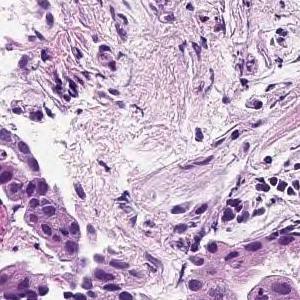
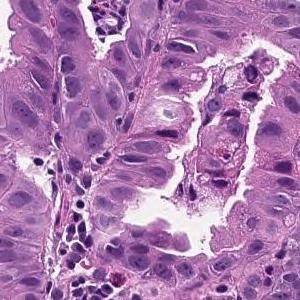
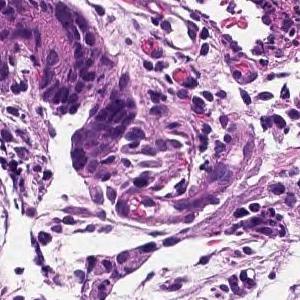
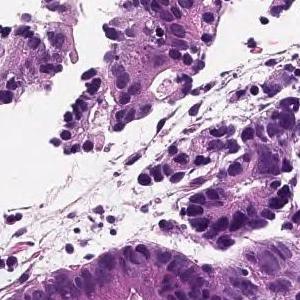
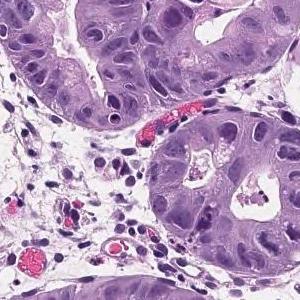
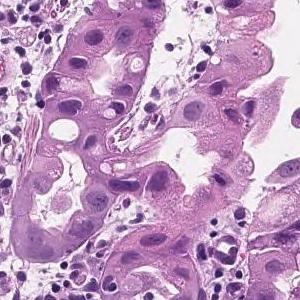
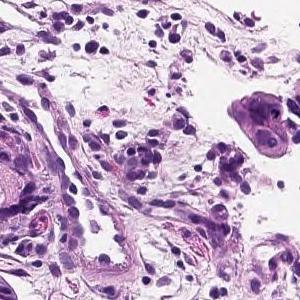
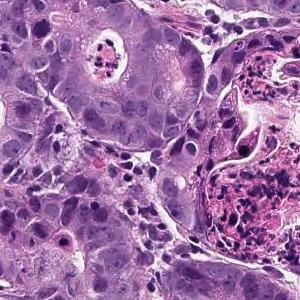
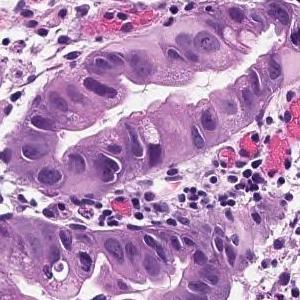
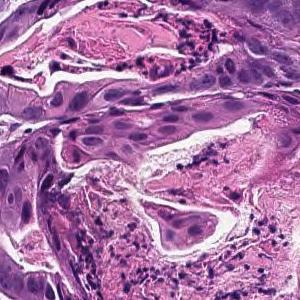
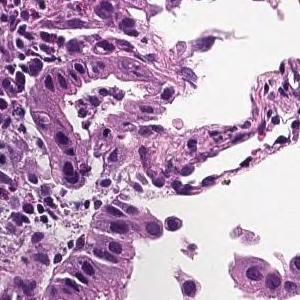
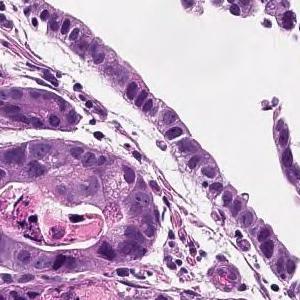
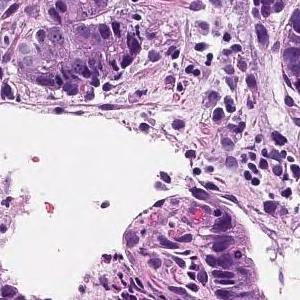
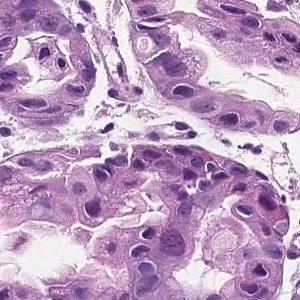
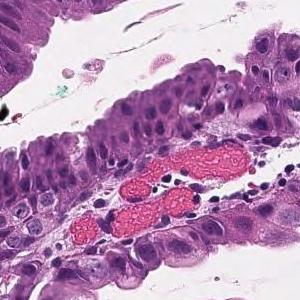
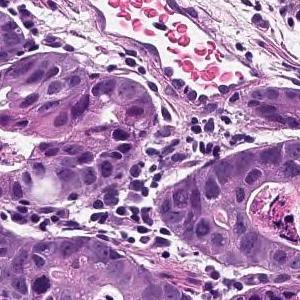
Scanned at ×20; 16 tiles from the same stomach biopsy slide.
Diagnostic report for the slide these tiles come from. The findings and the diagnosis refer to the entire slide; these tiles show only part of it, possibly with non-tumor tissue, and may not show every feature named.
On the superficial epithelium, tumor tissue that infiltrates by forming medium-sized papillary or small irregular ducts is observed. Papillary adenocarcinoma
